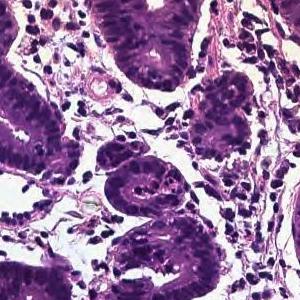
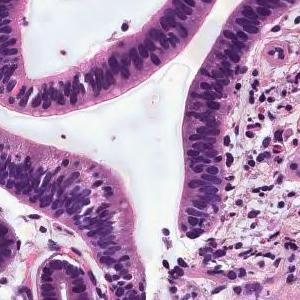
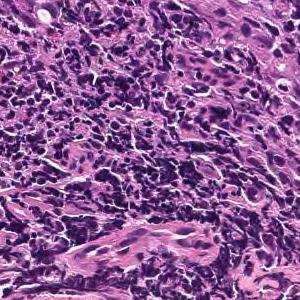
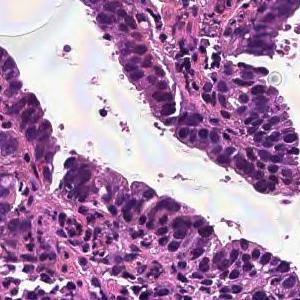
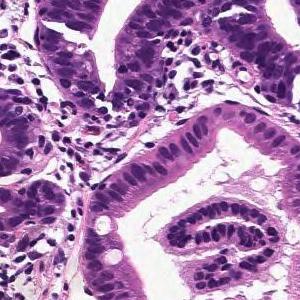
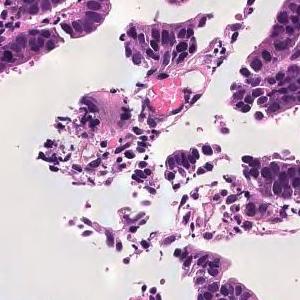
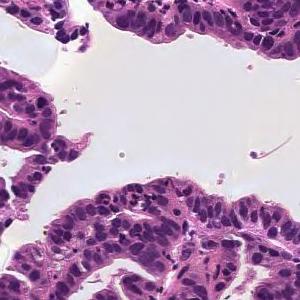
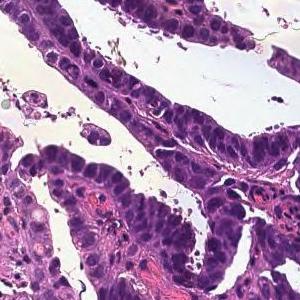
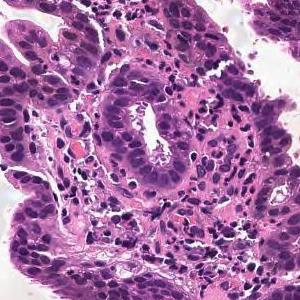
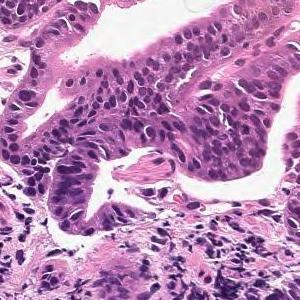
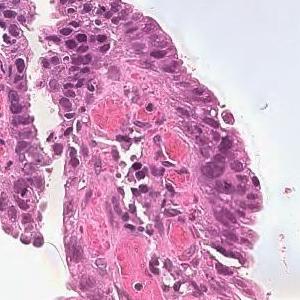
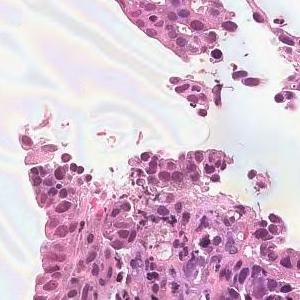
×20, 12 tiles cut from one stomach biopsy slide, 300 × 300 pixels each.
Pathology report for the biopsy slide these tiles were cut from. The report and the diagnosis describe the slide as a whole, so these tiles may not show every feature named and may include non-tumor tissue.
From the superficial epithelium to the muscularis mucosae, tumor tissue consisting of medium-sized and irregular glandular ducts infiltrating is observed. Well differentiated tubular adenocarcinoma
